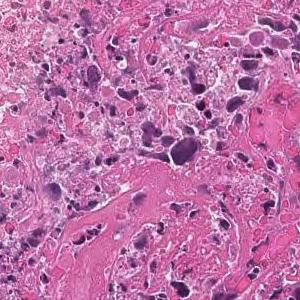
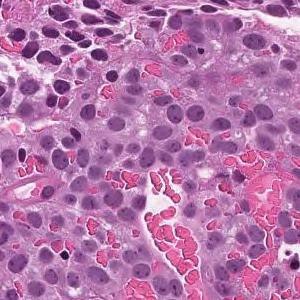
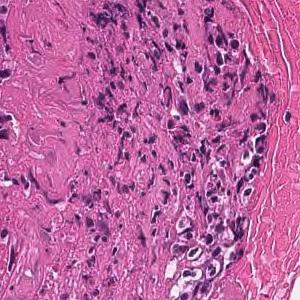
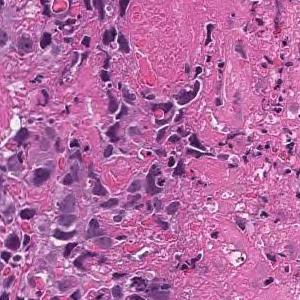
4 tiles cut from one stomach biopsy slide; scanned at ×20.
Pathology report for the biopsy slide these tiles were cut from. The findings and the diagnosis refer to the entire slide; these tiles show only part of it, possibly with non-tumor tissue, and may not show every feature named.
The superficial epithelium shows a large sheet-like shape, and some tumor tissue infiltrates with small irregular ducts. Poorly differentiated adenocarcinoma, solid-type
Subtype: Poorly differentiated adenocarcinoma, solid type, a category of the Japanese Classification of Gastric Carcinoma; in the WHO 2019 classification it is tubular adenocarcinoma, poorly differentiated.
